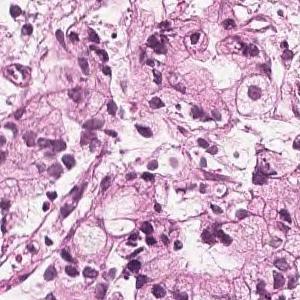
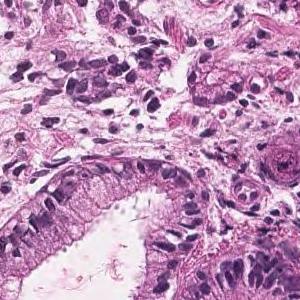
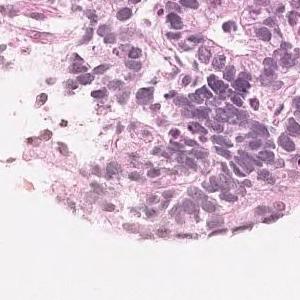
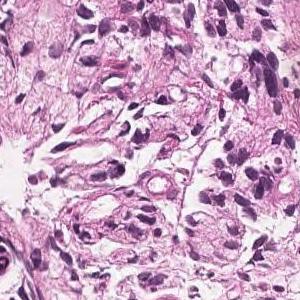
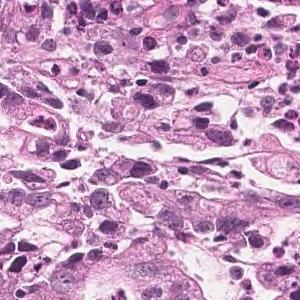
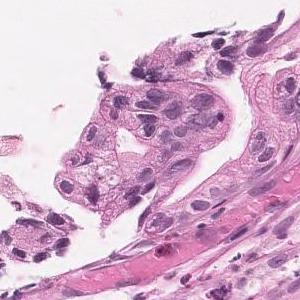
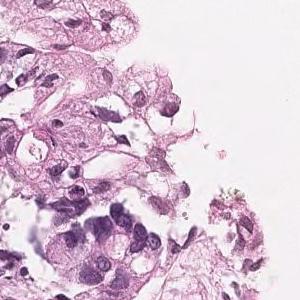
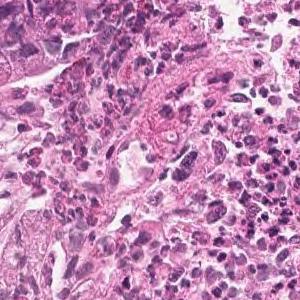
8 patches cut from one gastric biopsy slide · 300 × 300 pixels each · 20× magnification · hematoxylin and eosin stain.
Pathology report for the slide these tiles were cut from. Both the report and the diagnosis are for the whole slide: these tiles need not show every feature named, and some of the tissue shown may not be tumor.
In the superficial epithelium, medium to small irregular gland ducts are formed, and in some cases, the ducts are fused to show solid alveolar lesions and infiltrating tumor tissue is observed. Moderately to poorly differentiated adenocarcinoma
